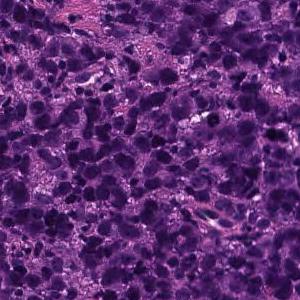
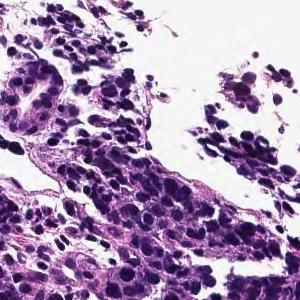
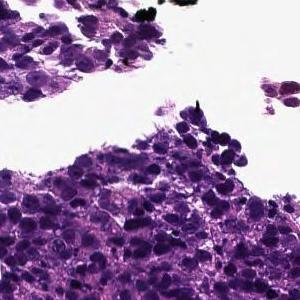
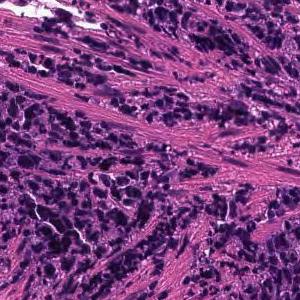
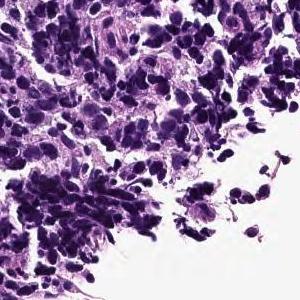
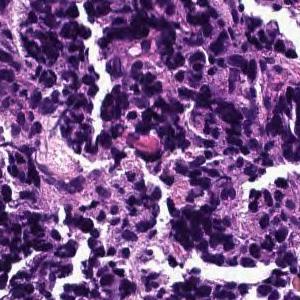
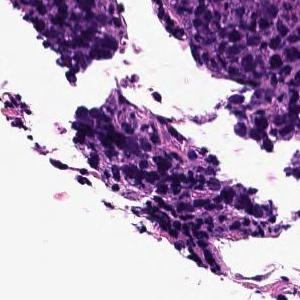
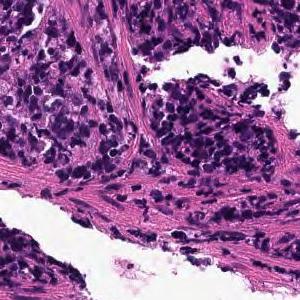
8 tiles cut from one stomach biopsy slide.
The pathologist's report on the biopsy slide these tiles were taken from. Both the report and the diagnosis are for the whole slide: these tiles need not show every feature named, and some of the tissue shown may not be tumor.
The superficial epithelium shows large alveolar or sheet-like forms, and some tumor tissue infiltrates with small irregular ducts. Poorly differentiated adenocarcinoma, solid-type
Subtype: Poorly differentiated adenocarcinoma, solid type, a category of the Japanese Classification of Gastric Carcinoma; in the WHO 2019 classification it is tubular adenocarcinoma, poorly differentiated.
